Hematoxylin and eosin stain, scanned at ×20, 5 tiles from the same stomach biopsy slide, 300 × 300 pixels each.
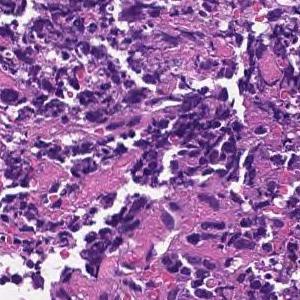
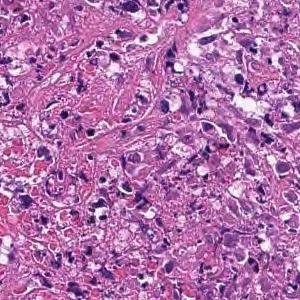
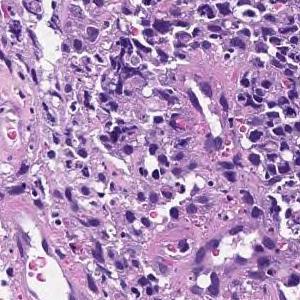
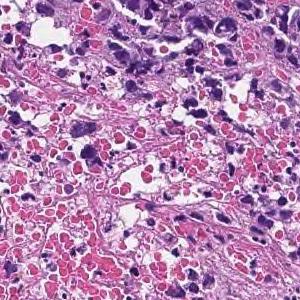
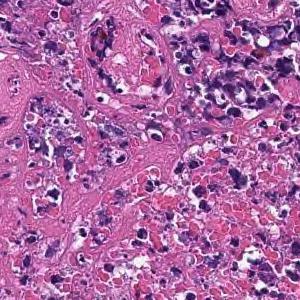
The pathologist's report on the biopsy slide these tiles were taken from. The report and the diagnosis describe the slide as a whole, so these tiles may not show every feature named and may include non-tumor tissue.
Most are composed of coagulative necrotic tissue, but some show a large sheet-like shape, and some show tumor tissue infiltrating with a small cord-like structure. Poorly differentiated adenocarcinoma, solid-type
Histological subtype: Poorly differentiated adenocarcinoma, solid type (Japanese Classification of Gastric Carcinoma). The WHO 2019 equivalent is tubular adenocarcinoma, poorly differentiated.
